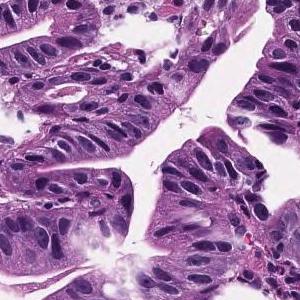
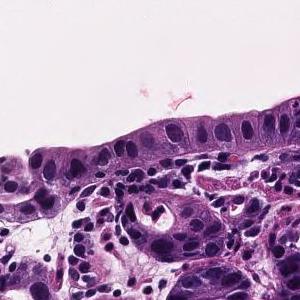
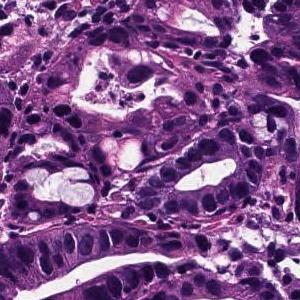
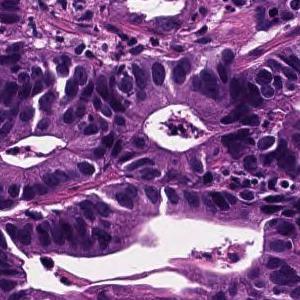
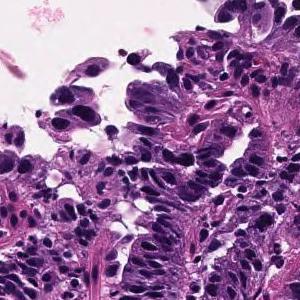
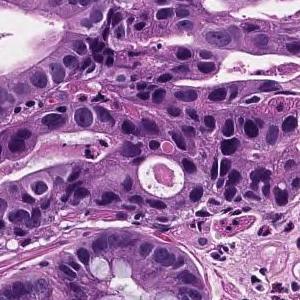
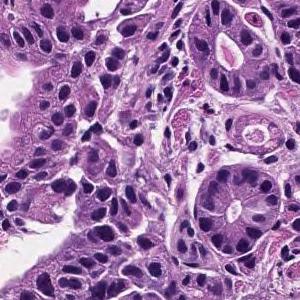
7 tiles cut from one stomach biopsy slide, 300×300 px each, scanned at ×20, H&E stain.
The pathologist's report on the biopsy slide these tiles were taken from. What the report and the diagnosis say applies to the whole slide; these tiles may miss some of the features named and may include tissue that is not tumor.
In the superficial epithelium, tumor tissue that invades by forming medium-sized to small, irregular ducts is observed. Well differentiated tubular adenocarcinoma.
